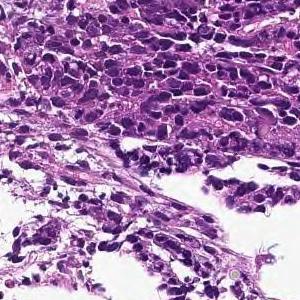
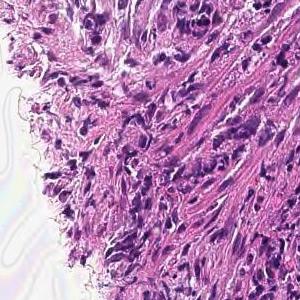
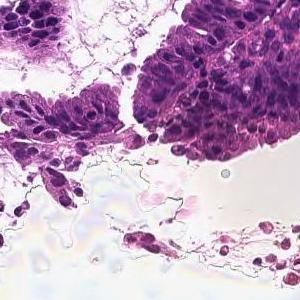
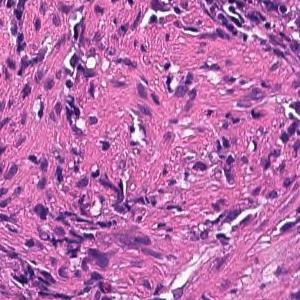
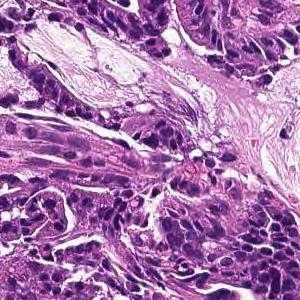
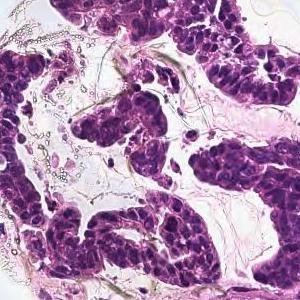
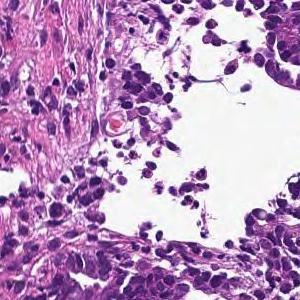
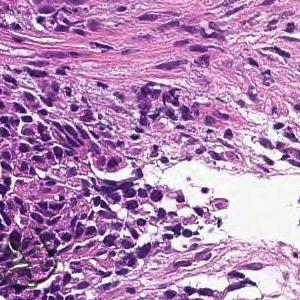
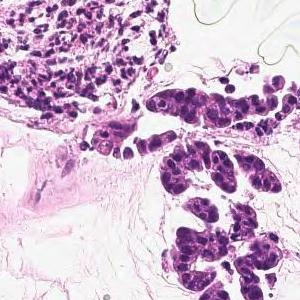
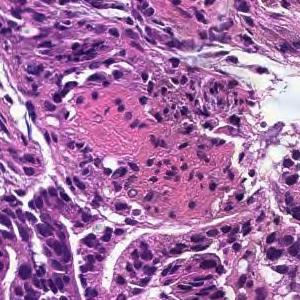
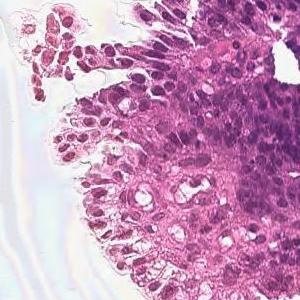
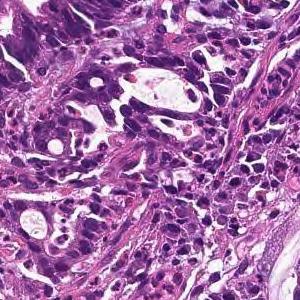
H&E stain · 12 tiles from the same stomach biopsy slide · each 300 × 300 pixels.
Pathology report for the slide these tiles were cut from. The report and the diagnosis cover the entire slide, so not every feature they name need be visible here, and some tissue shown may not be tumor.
In the superficial epithelium, tumor tissue that invades by forming medium-sized to small, irregular ducts is observed. moderately differentiated tubular adenocarcinoma.
